6 tiles cut from one stomach biopsy slide · 300×300 px each · hematoxylin and eosin stain.
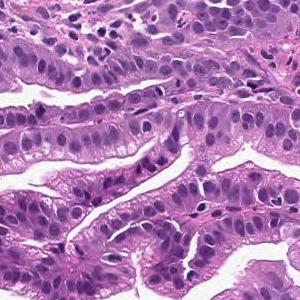
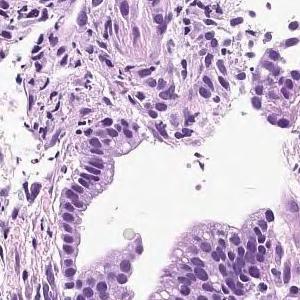
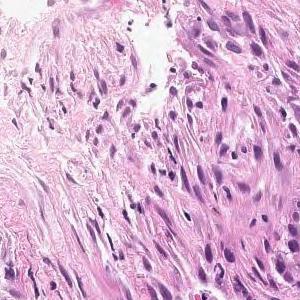
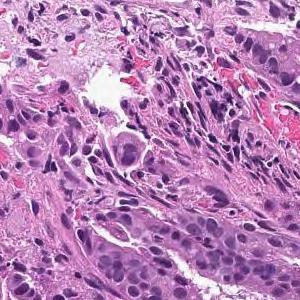
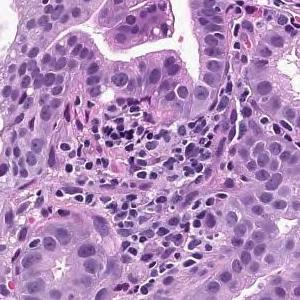
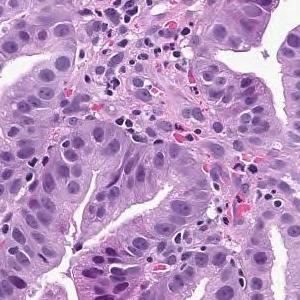
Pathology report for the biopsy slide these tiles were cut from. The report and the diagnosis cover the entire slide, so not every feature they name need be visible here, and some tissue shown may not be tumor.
On the superficial epithelium, tumor tissue that infiltrates by forming medium-sized papillary or small irregular ducts is observed. Papillary adenocarcinoma
